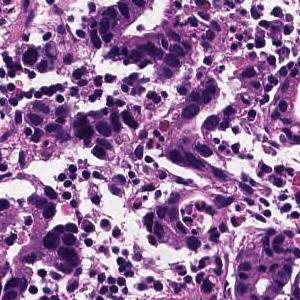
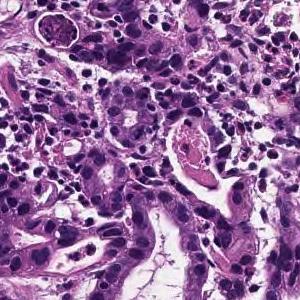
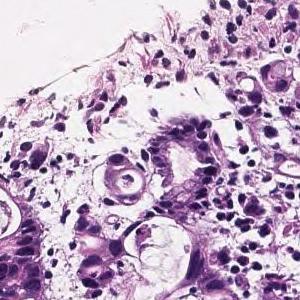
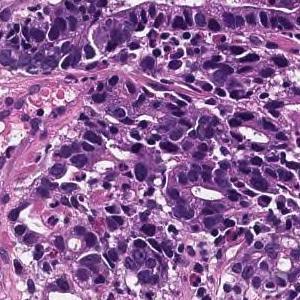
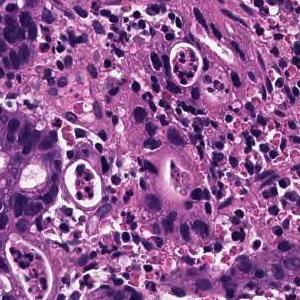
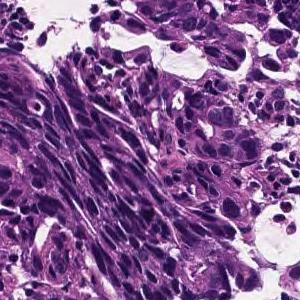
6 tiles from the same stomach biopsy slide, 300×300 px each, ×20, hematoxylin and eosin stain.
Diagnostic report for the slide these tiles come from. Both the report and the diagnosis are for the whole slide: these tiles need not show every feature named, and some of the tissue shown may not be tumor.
In the superficial epithelium, tumor tissue that invades by forming medium-sized to small, irregular ducts is observed. moderately differentiated tubular adenocarcinoma.
